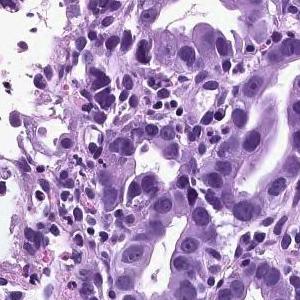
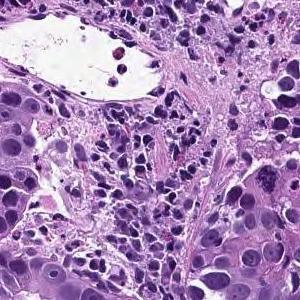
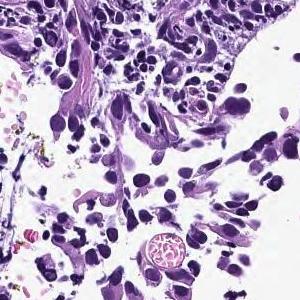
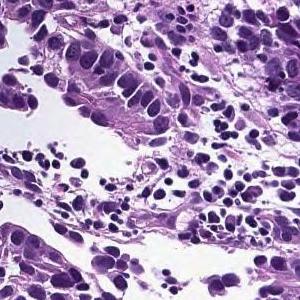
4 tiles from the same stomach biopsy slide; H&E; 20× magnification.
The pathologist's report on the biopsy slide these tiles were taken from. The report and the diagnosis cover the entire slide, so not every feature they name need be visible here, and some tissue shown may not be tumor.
In the superficial epithelium, tumor tissue that invades by forming medium-sized to small, irregular ducts is observed. moderately differentiated tubular adenocarcinoma.
